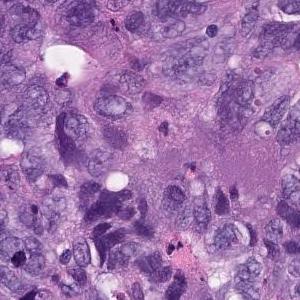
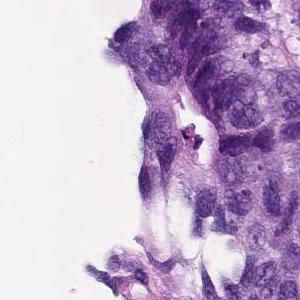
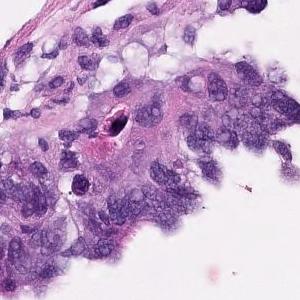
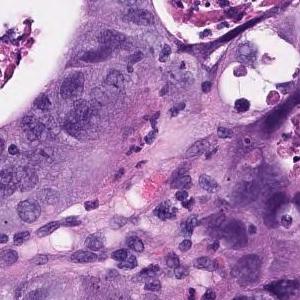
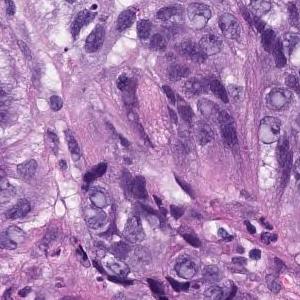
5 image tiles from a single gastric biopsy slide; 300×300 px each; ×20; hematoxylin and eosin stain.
Diagnostic report for the slide these tiles come from. The report describes the whole slide, diagnosis included: not every finding it names need appear in these tiles, which may also show non-tumor tissue.
In the superficial epithelium, tumor tissue that invades by forming medium-sized to small, irregular ducts is observed. Moderately differentiated adenocarcinoma.
Histological subtype: Moderately differentiated tubular adenocarcinoma.
